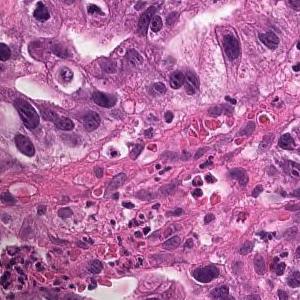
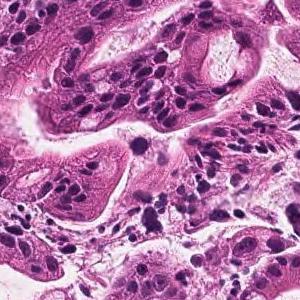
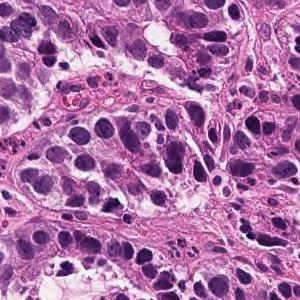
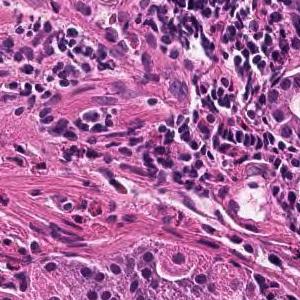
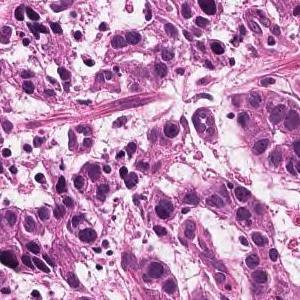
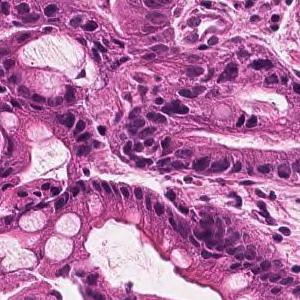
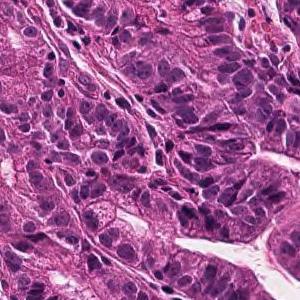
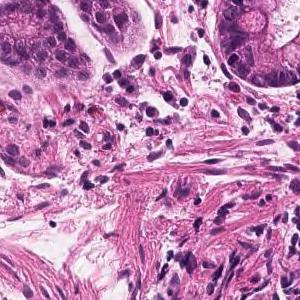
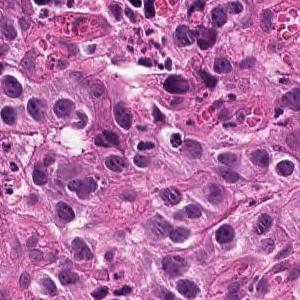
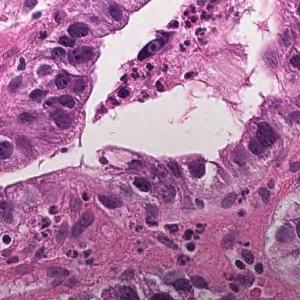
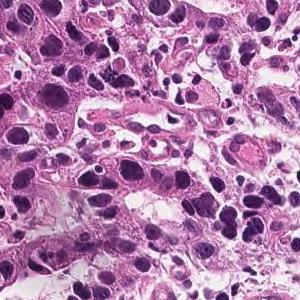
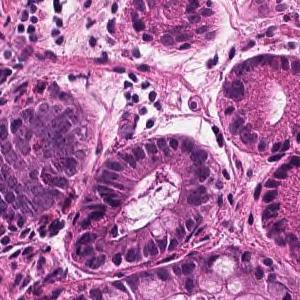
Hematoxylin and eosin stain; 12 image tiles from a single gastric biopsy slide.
Diagnostic report for the slide these tiles come from. What the report and the diagnosis say applies to the whole slide; these tiles may miss some of the features named and may include tissue that is not tumor.
Tumor tissue consisting of medium-sized, cord-like or irregular glandular infiltration is observed in the superficial epithelium. Poorly differentiated adenocarcinoma, non-solid type or moderately differentiated tubular adenocarcinoma
Histologic type: Moderately to poorly differentiated adenocarcinoma.
"Non-solid type" is a category of the Japanese Classification of Gastric Carcinoma.
